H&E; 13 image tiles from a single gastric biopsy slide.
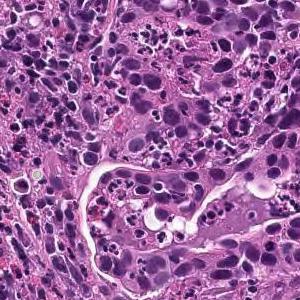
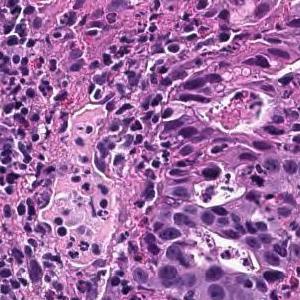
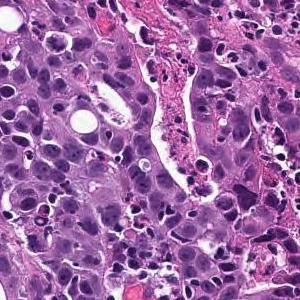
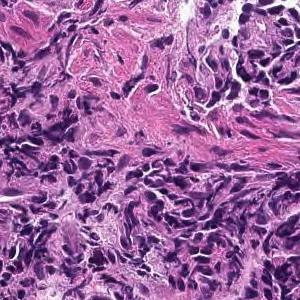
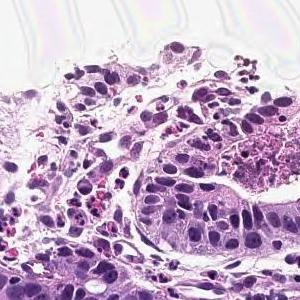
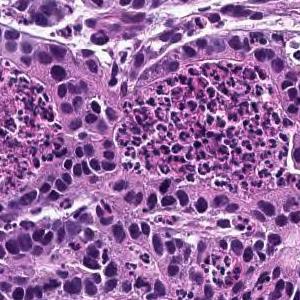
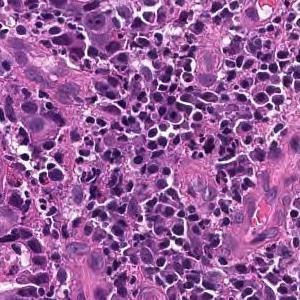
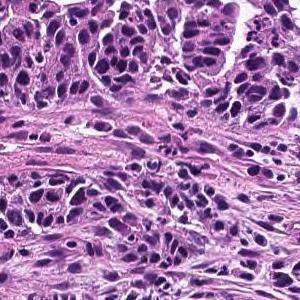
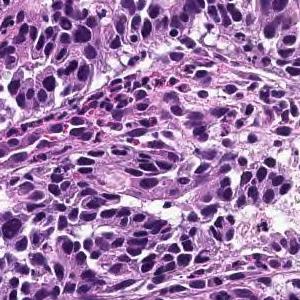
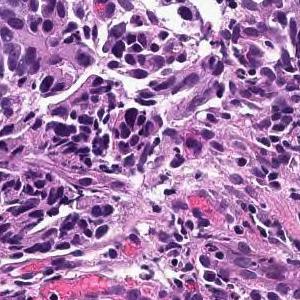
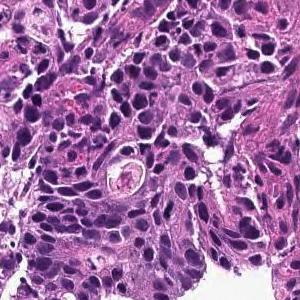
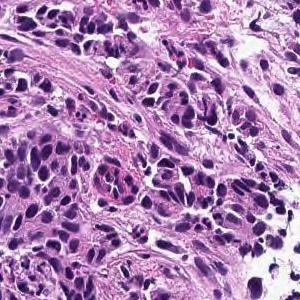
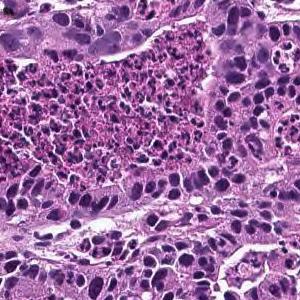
Pathology report for the biopsy slide these tiles were cut from. Both the report and the diagnosis are for the whole slide: these tiles need not show every feature named, and some of the tissue shown may not be tumor.
In the superficial epithelium, tumor tissue that invades by forming medium-sized to small, irregular ducts is observed. moderately differentiated tubular adenocarcinoma.
